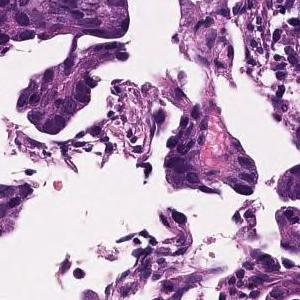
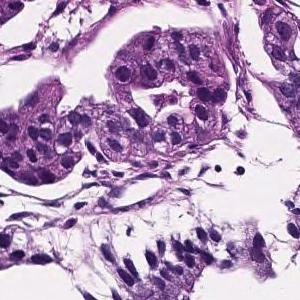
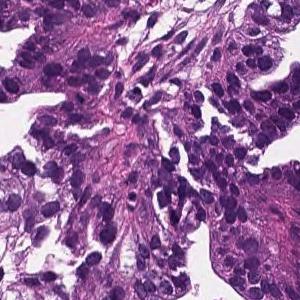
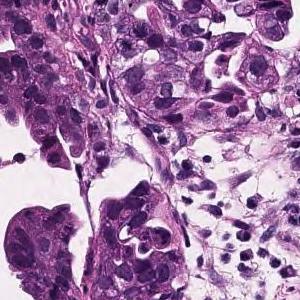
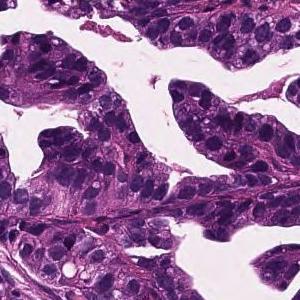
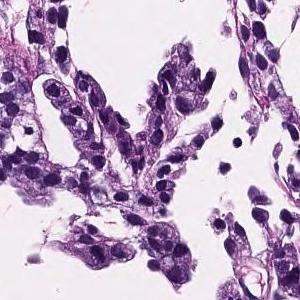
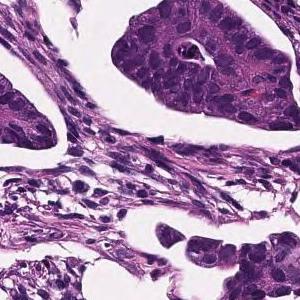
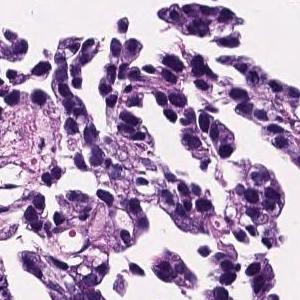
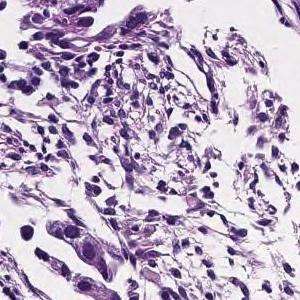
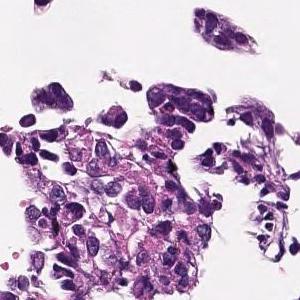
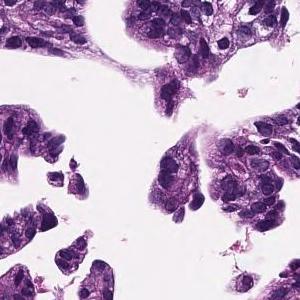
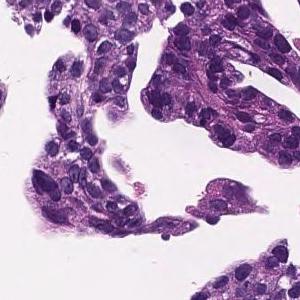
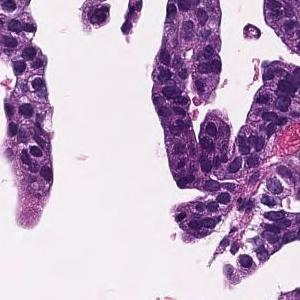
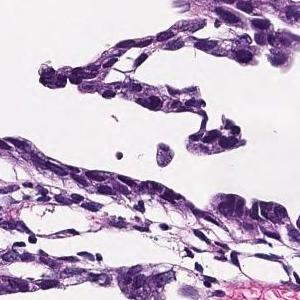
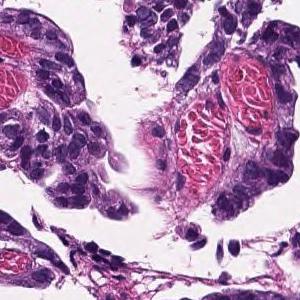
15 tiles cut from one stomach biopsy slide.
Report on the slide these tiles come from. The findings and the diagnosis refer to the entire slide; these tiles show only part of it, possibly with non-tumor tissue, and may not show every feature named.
In the lamina propria, tumor tissue that invades by forming medium-sized to small, irregular glandular ducts is observed. moderately differentiated tubular adenocarcinoma
